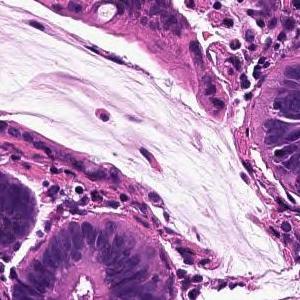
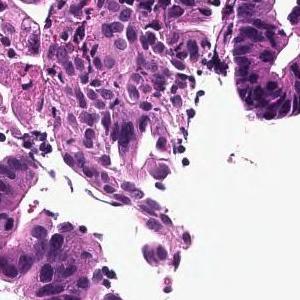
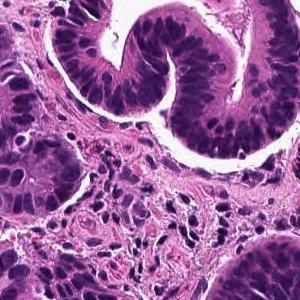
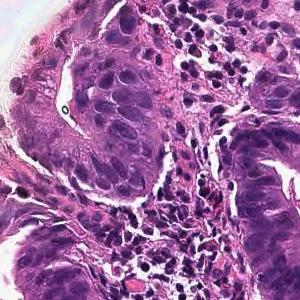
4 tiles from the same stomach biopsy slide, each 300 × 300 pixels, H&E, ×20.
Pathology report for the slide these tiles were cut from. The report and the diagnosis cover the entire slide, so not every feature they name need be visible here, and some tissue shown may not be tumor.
From the superficial epithelium to the muscularis mucosae, tumor tissue consisting of medium-sized and irregular glandular ducts infiltrating is observed. Well differentiated tubular adenocarcinoma
